4 tiles from the same stomach biopsy slide, scanned at ×20, hematoxylin and eosin stain.
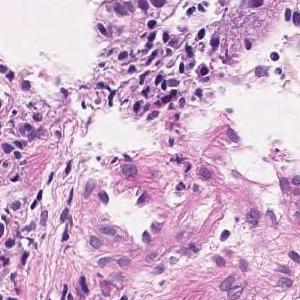
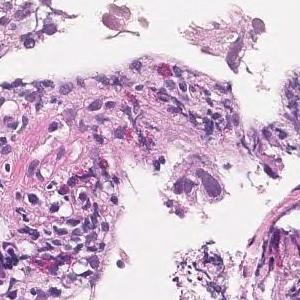
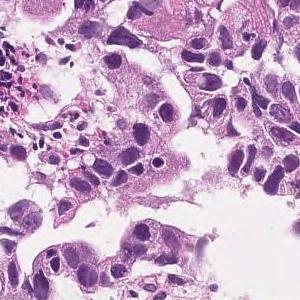
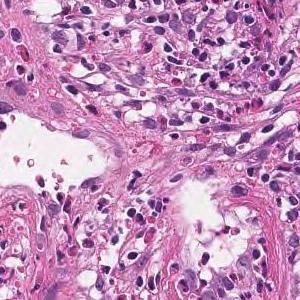
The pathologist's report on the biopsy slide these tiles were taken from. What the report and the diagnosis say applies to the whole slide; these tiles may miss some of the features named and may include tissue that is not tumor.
In the superficial epithelium, tumor tissue that invades by forming medium-sized to small, irregular ducts is observed. moderately differentiated tubular adenocarcinoma.
